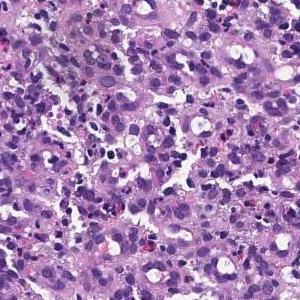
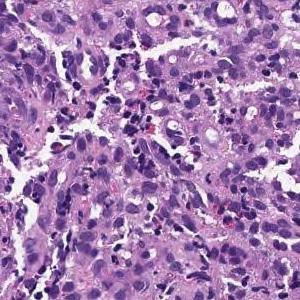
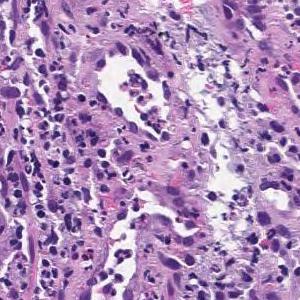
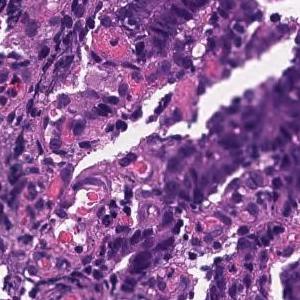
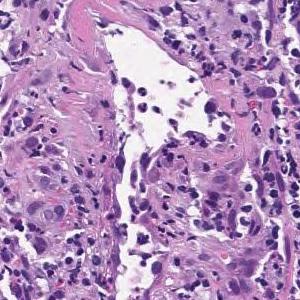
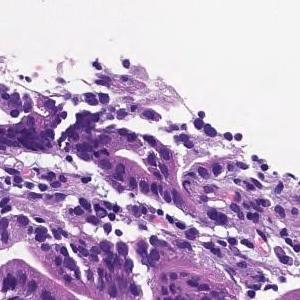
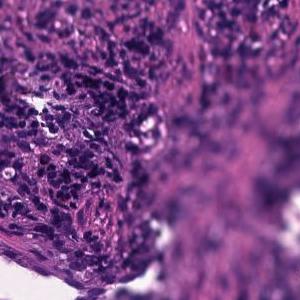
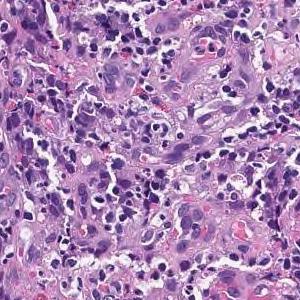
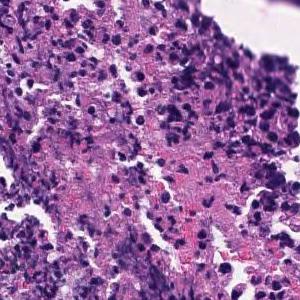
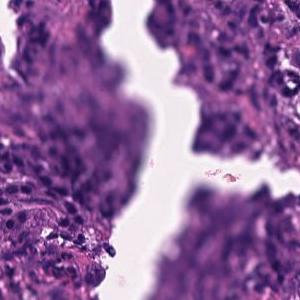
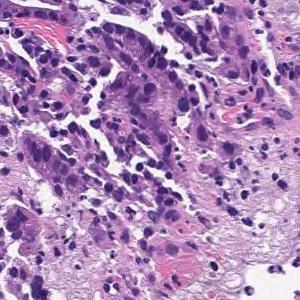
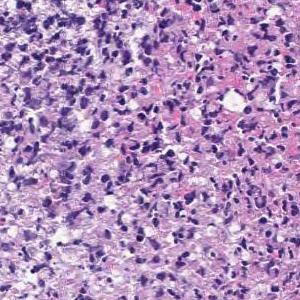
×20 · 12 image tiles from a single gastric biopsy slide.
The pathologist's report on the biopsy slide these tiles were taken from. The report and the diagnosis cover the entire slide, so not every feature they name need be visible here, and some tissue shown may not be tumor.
On the superficial epithelium, tumor tissue consisting of large irregular glandular ducts partially fused and infiltrated is observed. Well to moderately differentiated tubular adenocarcinoma (well differentiated tubular adenocarcinoma, moderately differentiated tubular adenocarcinoma)
Classified as well to moderately differentiated tubular adenocarcinoma.
